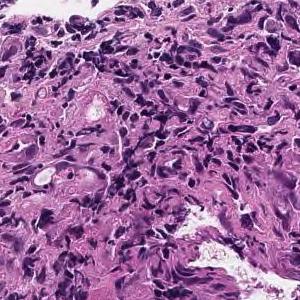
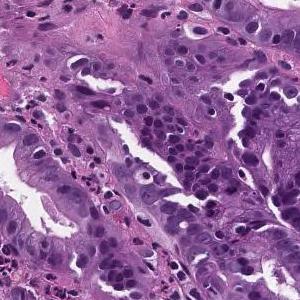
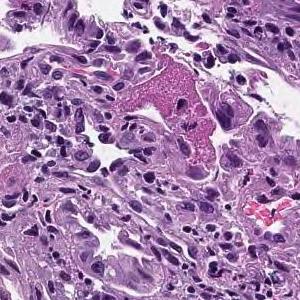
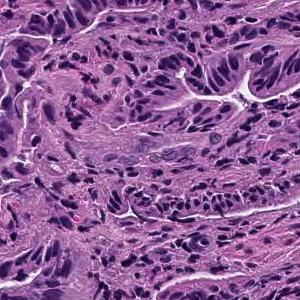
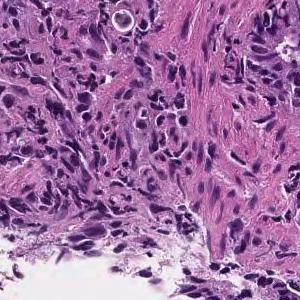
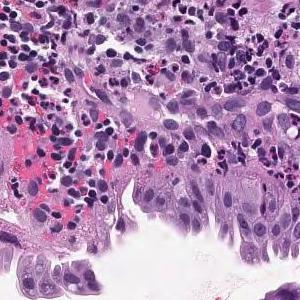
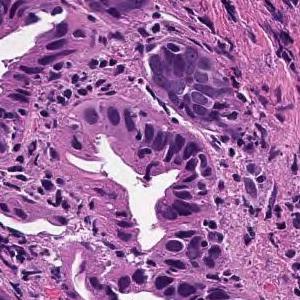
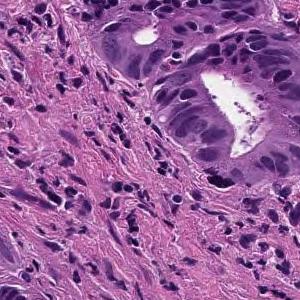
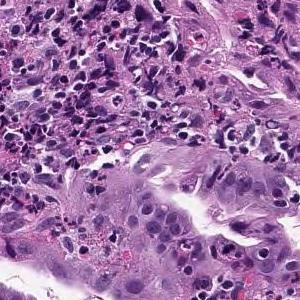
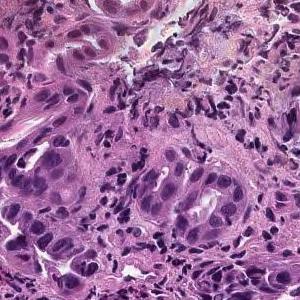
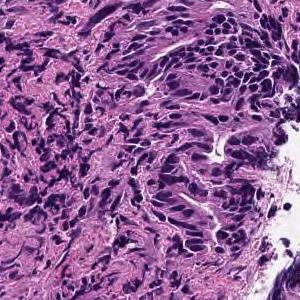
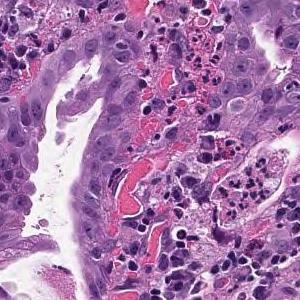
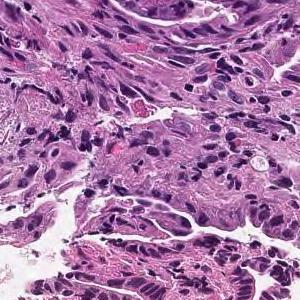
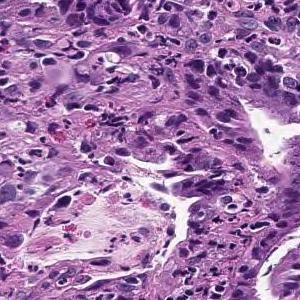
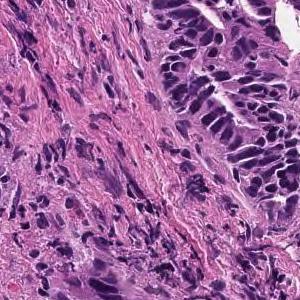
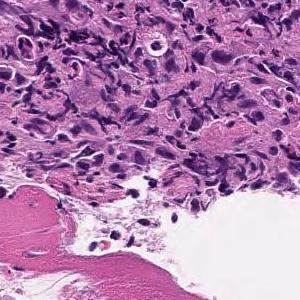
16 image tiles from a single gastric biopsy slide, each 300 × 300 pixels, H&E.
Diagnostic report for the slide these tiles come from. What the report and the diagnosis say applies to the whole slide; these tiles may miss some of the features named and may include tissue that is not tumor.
On the superficial epithelium, tumor tissue consisting of large, irregular glandular ducts partially fused and infiltrated is observed. Well to moderately differentiated tubular adenocarcinoma (well differentiated tubular adenocarcinoma, moderately differentiated tubular adenocarcinoma)
Tumor subtype: well to moderately differentiated tubular adenocarcinoma.
